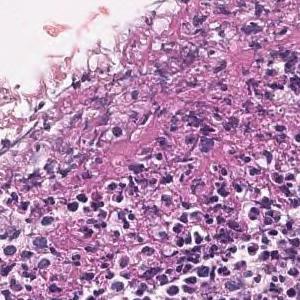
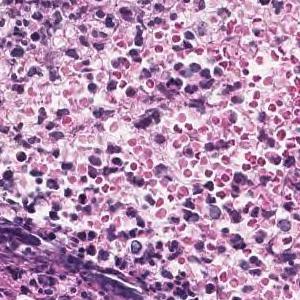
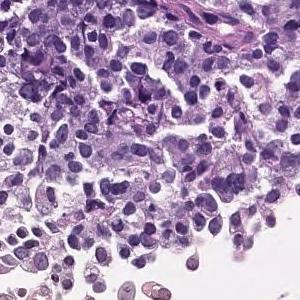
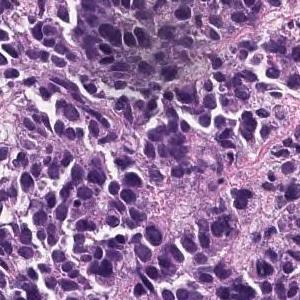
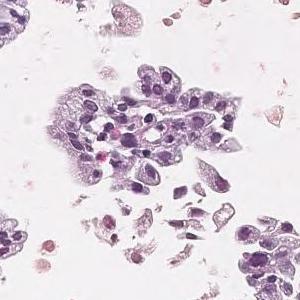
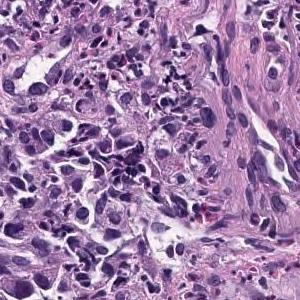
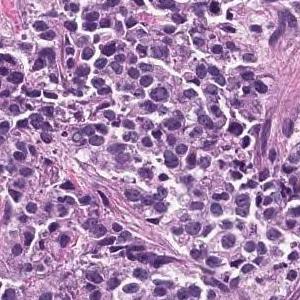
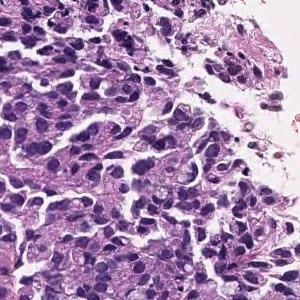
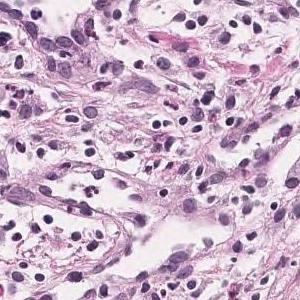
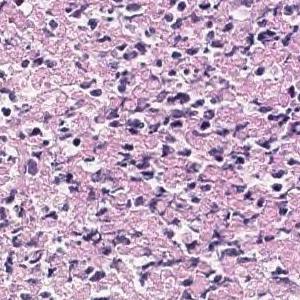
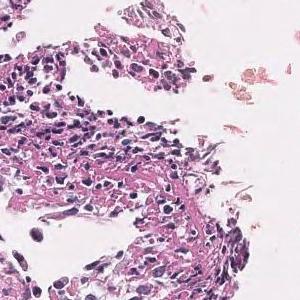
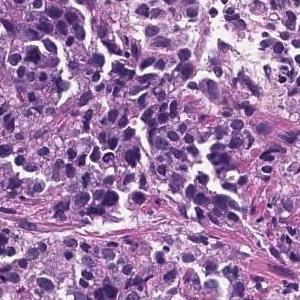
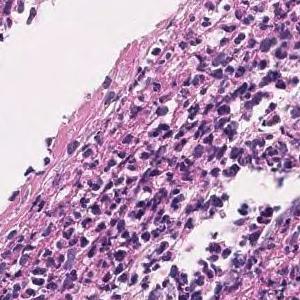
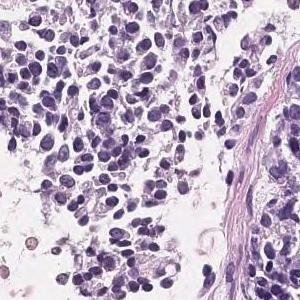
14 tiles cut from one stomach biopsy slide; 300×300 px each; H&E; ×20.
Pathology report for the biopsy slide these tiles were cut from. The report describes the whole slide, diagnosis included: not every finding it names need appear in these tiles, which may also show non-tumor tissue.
The superficial epithelium shows a large sheet-like shape, and some tumor tissue infiltrates with small irregular ducts. Poorly differentiated adenocarcinoma, solid-type
Tumor subtype: poorly differentiated adenocarcinoma, solid type (Japanese Classification of Gastric Carcinoma). The WHO 2019 equivalent is tubular adenocarcinoma, poorly differentiated.
